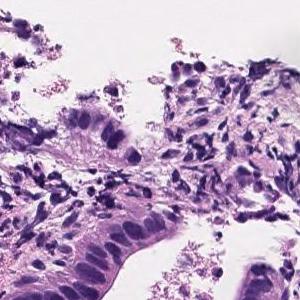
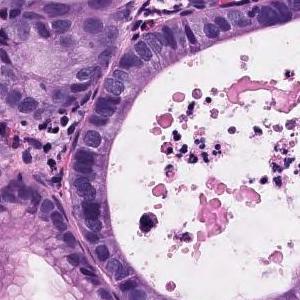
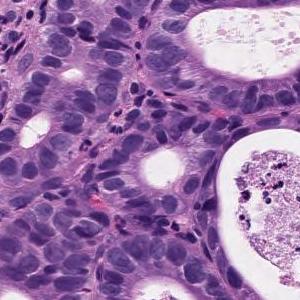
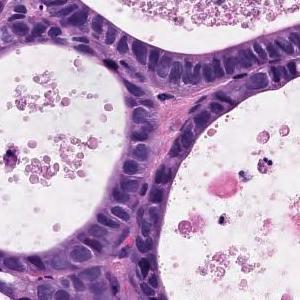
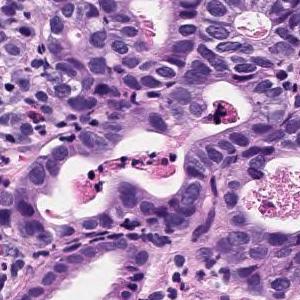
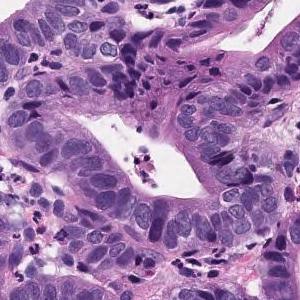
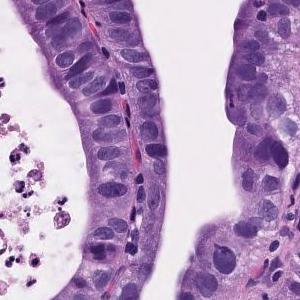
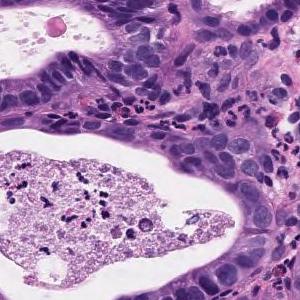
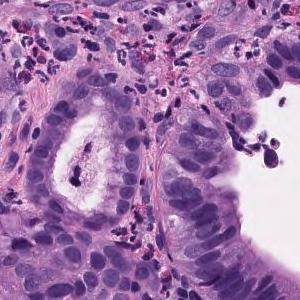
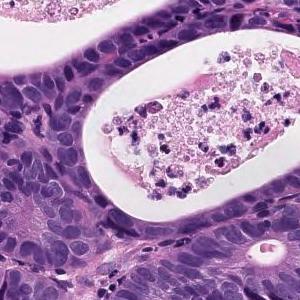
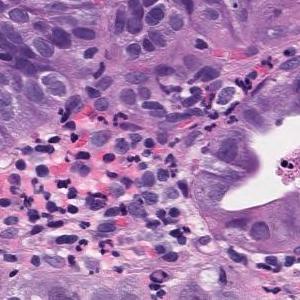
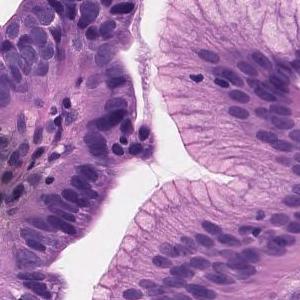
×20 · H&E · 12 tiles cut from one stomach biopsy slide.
Pathology report for the slide these tiles were cut from. Both the report and the diagnosis are for the whole slide: these tiles need not show every feature named, and some of the tissue shown may not be tumor.
Tumor tissue consisting of proliferative medium to large, round or irregular glandular ducts in the superficial epithelium. Well differentiated adenocarcinoma.
Tumor subtype: well differentiated tubular adenocarcinoma.
